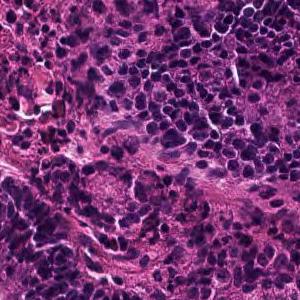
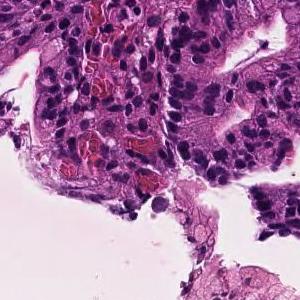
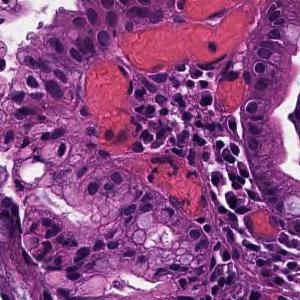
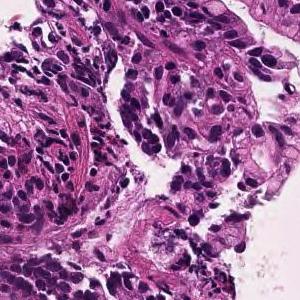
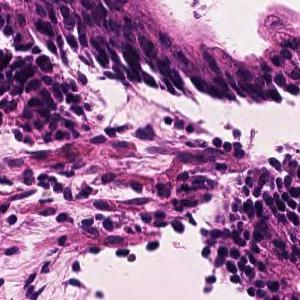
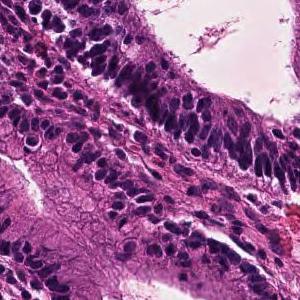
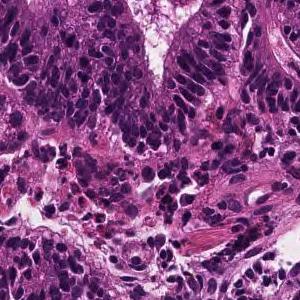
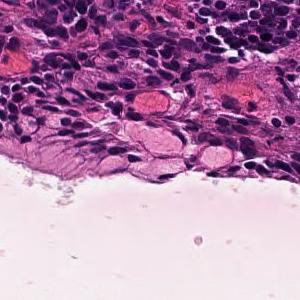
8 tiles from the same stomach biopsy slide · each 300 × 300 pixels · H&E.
The pathologist's report on the biopsy slide these tiles were taken from. The findings and the diagnosis refer to the entire slide; these tiles show only part of it, possibly with non-tumor tissue, and may not show every feature named.
In the superficial epithelium, tumor tissue that invades by forming medium-sized to small, irregular ducts is observed. moderately differentiated tubular adenocarcinoma.
